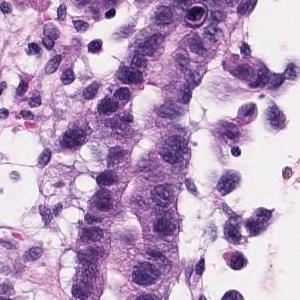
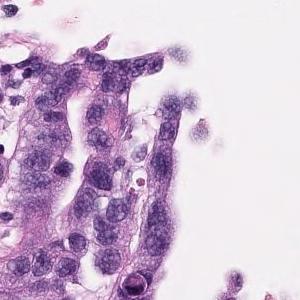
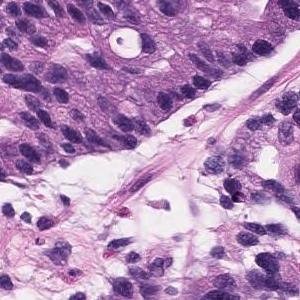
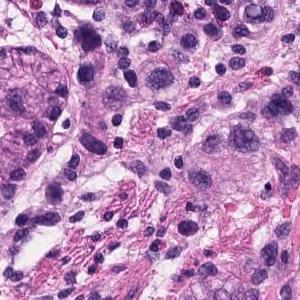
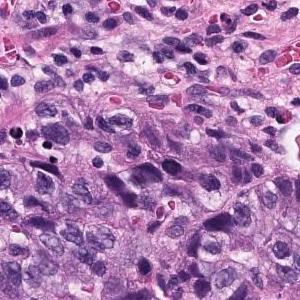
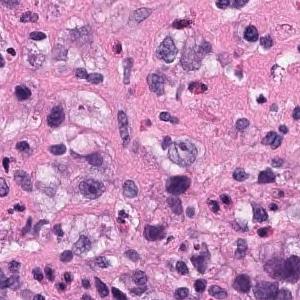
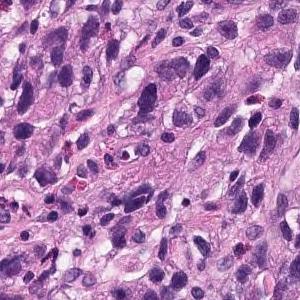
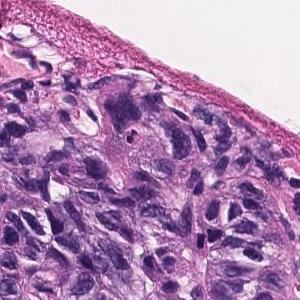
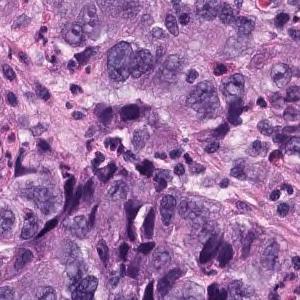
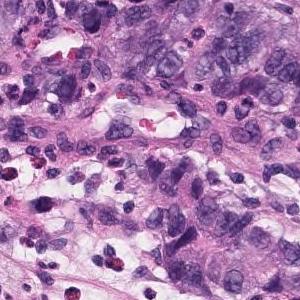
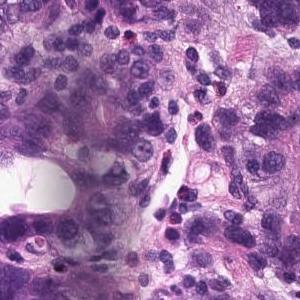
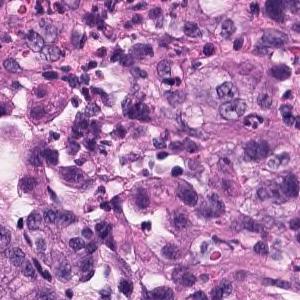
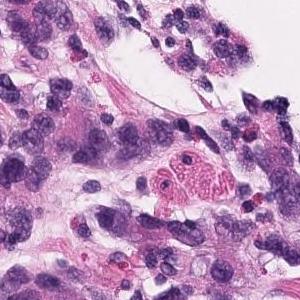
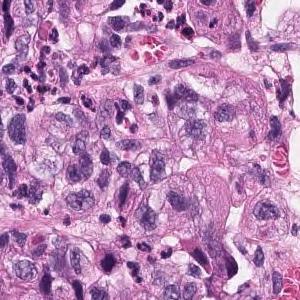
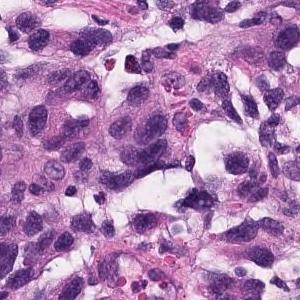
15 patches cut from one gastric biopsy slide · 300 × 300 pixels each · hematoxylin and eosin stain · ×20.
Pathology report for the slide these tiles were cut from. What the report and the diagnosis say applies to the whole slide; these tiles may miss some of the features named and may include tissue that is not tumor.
Atypical l cells with atypical nuclei forming diffuse or small irregular atypical ducts and growing. Moderately to poorly differentiated adenocarcinoma (poorly differentiated adenocarcinoma, solid type, moderately differentiated tubular adenocarcinoma)
Histologic type: Moderately to poorly differentiated adenocarcinoma.
The term "solid type" comes from the Japanese Classification of Gastric Carcinoma; the WHO 2019 equivalent is tubular adenocarcinoma, poorly differentiated.
